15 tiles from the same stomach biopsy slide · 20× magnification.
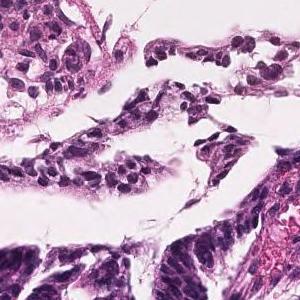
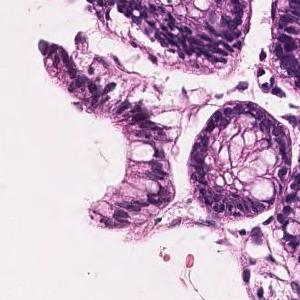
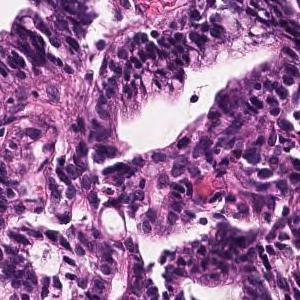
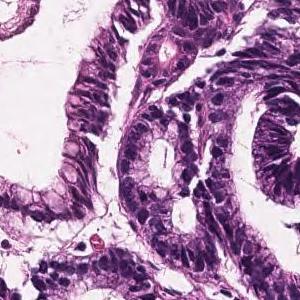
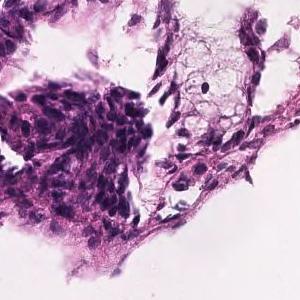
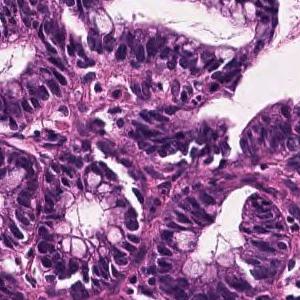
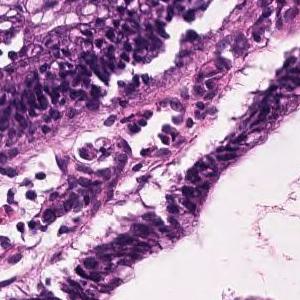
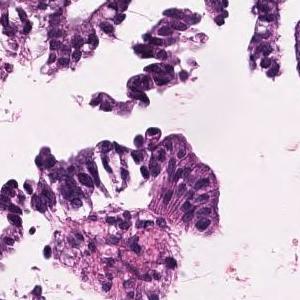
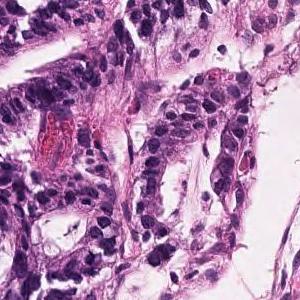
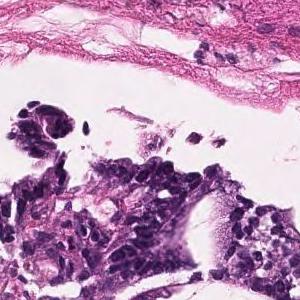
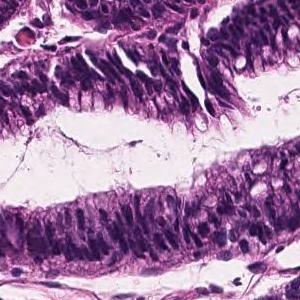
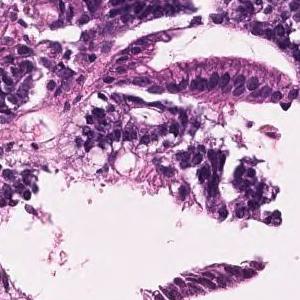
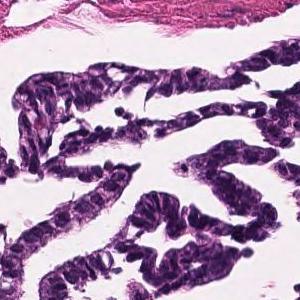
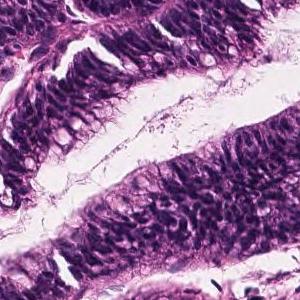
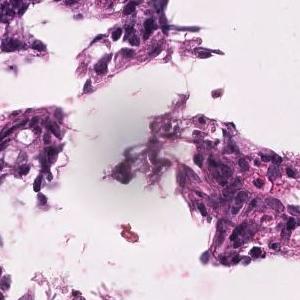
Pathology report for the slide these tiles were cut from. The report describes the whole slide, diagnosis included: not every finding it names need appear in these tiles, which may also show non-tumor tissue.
Cubic to columnar atypical epithelial cells proliferating showing papillary to papillary ductal structures is observed. Papillary adenocarcinoma.
